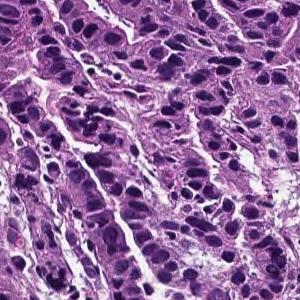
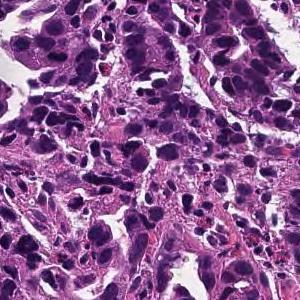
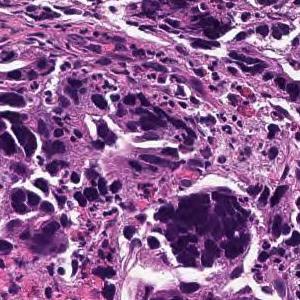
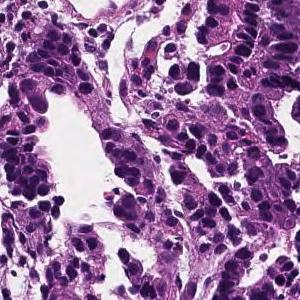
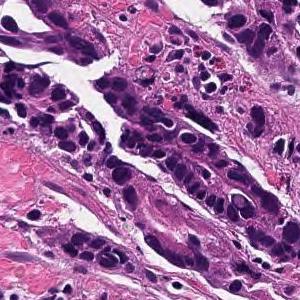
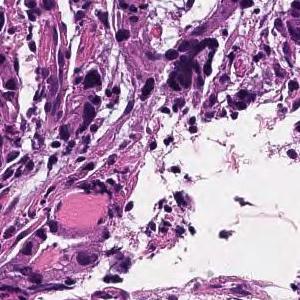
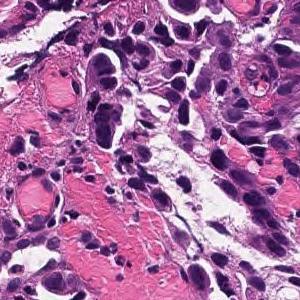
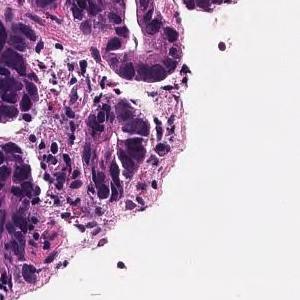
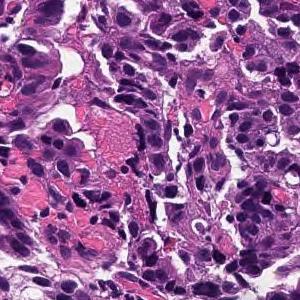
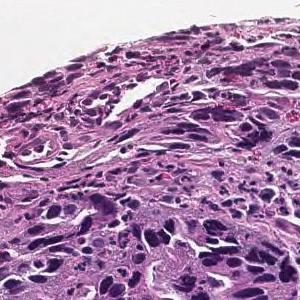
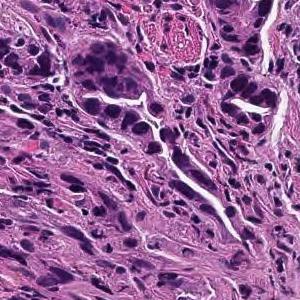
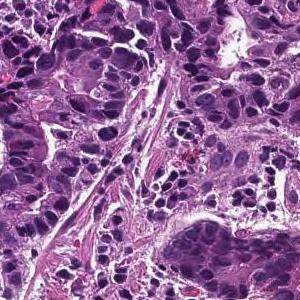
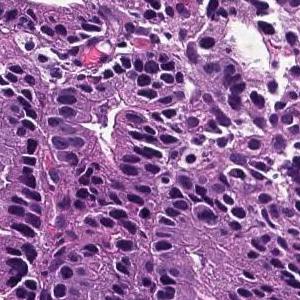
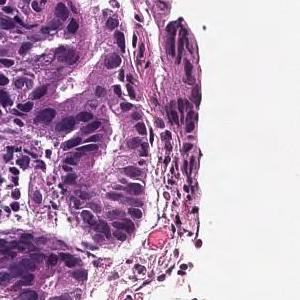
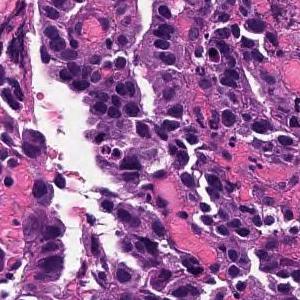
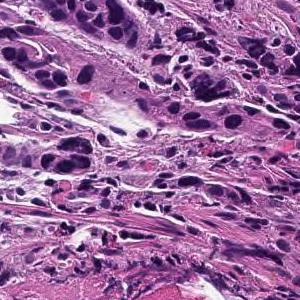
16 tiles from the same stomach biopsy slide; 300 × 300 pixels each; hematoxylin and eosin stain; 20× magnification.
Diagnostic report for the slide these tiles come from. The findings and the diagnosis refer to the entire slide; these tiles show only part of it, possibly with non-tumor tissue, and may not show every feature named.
In the superficial epithelium, tumor tissue that invades by forming medium-sized to small, irregular ducts is observed. moderately differentiated tubular adenocarcinoma.
